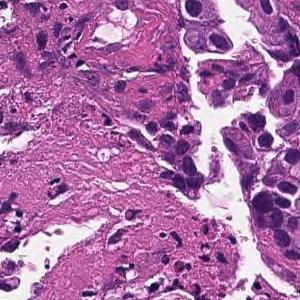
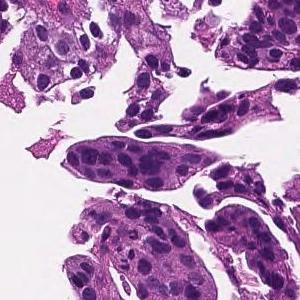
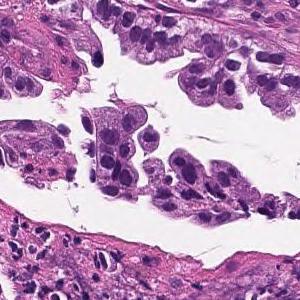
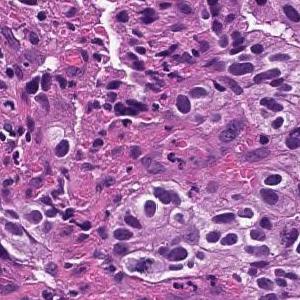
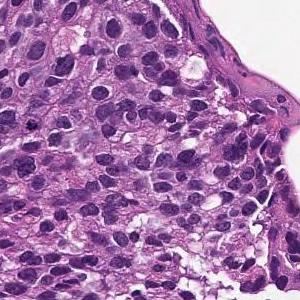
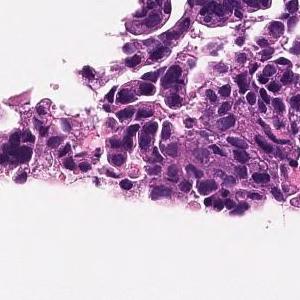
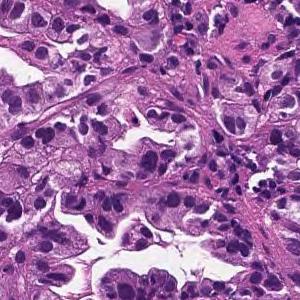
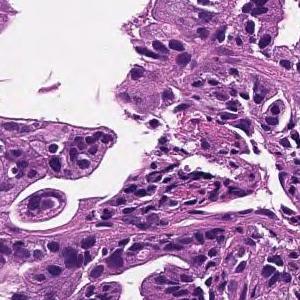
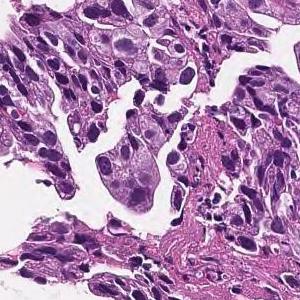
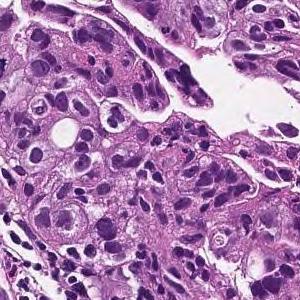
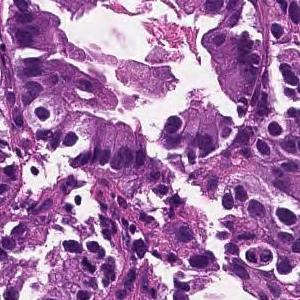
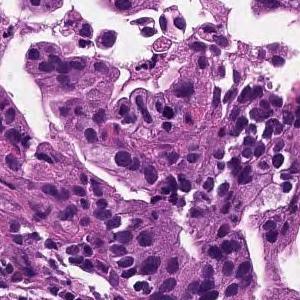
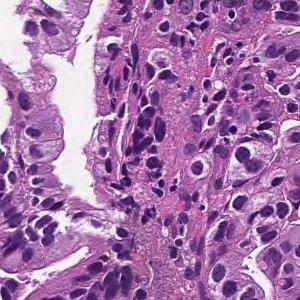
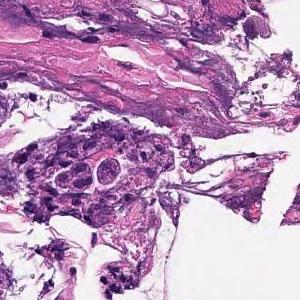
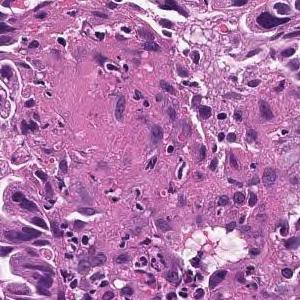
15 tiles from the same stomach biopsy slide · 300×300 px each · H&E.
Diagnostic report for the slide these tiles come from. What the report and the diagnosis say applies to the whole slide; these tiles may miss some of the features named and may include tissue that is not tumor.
Medium to small, irregular glandular ducts are formed in the superficial epithelium, and in some cases, the glandular ducts are fused to show solid alveolar lesions and infiltrating tumor tissue is observed. Moderately to poorly differentiated adenocarcinoma.
